Hematoxylin and eosin stain · 20× magnification · 6 tiles from the same stomach biopsy slide · 300×300 px each.
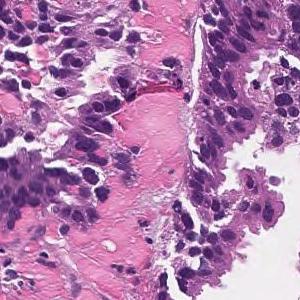
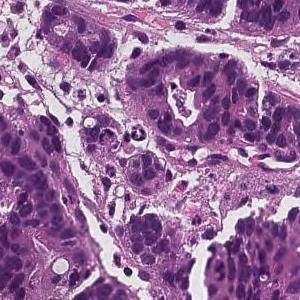
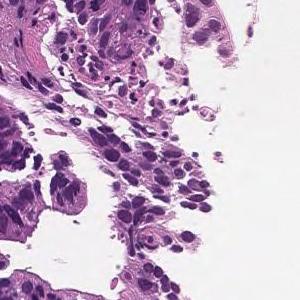
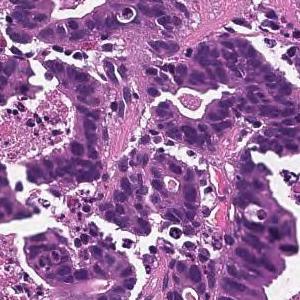
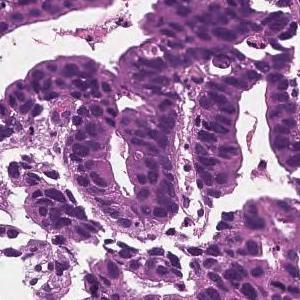
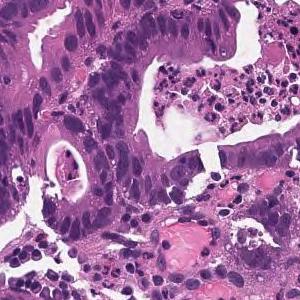
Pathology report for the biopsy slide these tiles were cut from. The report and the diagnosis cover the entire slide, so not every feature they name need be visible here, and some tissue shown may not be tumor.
In the superficial epithelium, tumor tissue that invades by forming medium-sized to small, irregular ducts is observed. moderately differentiated tubular adenocarcinoma.
